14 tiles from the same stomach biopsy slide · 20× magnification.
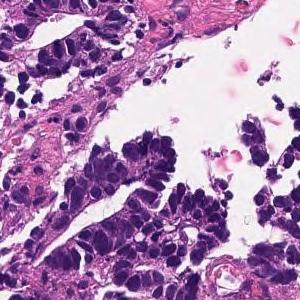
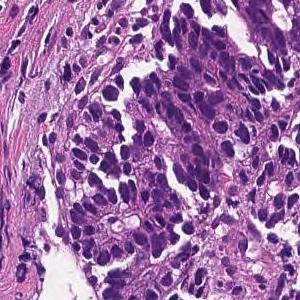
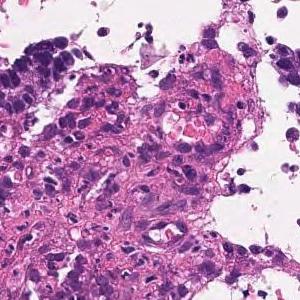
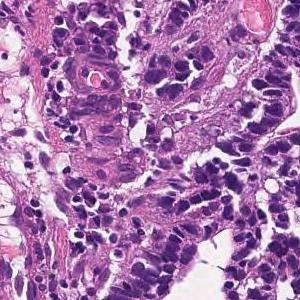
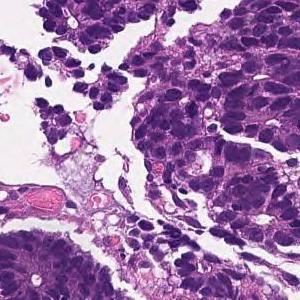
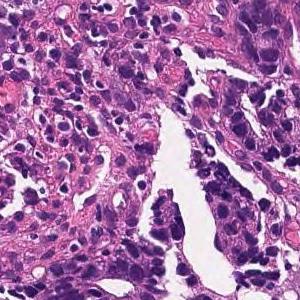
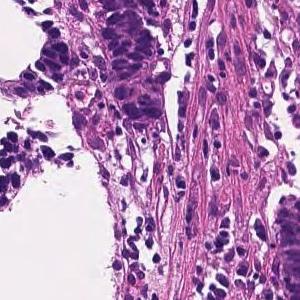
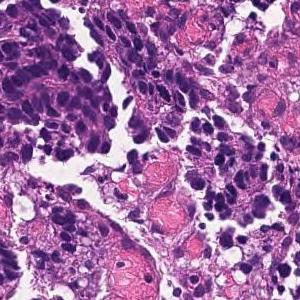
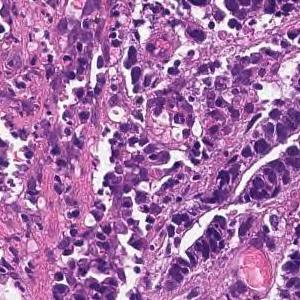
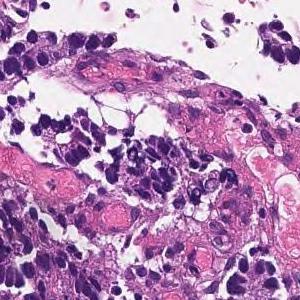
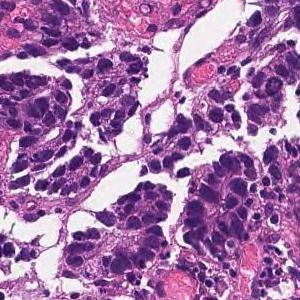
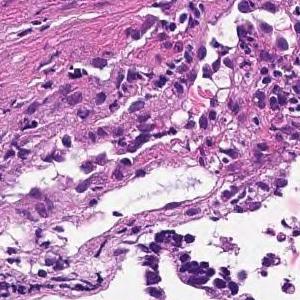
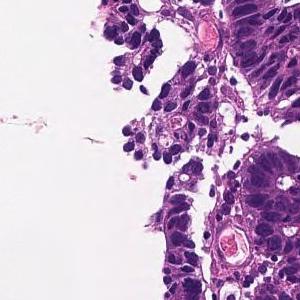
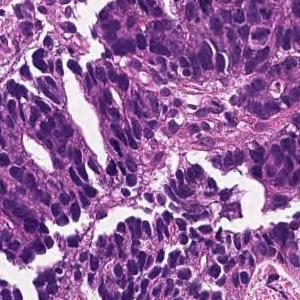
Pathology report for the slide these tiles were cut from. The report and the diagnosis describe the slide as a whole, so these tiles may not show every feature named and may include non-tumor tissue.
In the superficial epithelium, tumor tissue that invades by forming medium-sized to small, irregular ducts is observed. Moderately differentiated adenocarcinoma (moderately differentiated tubular adenocarcinoma).
Histologic type: Moderately differentiated tubular adenocarcinoma.
